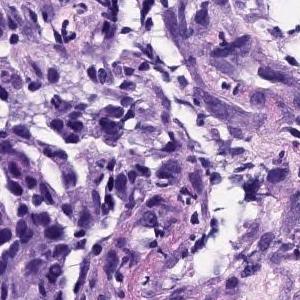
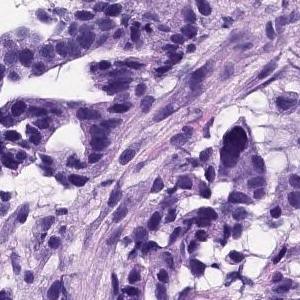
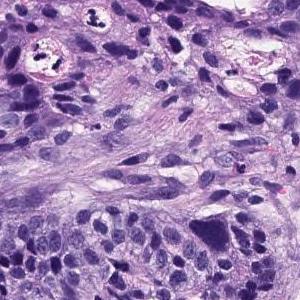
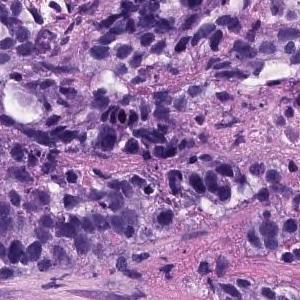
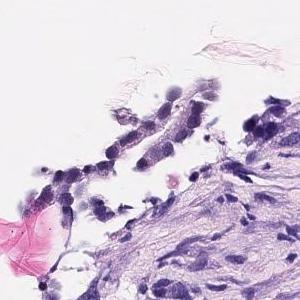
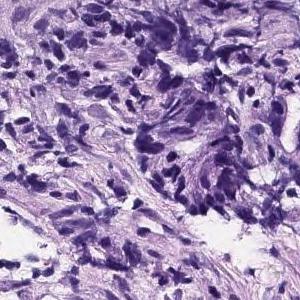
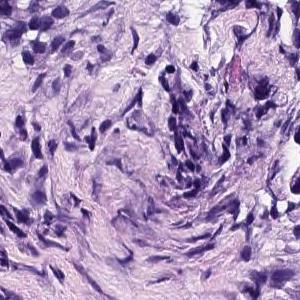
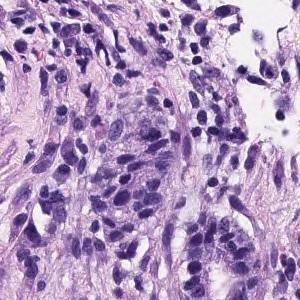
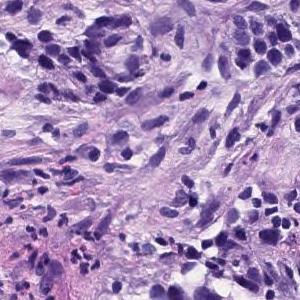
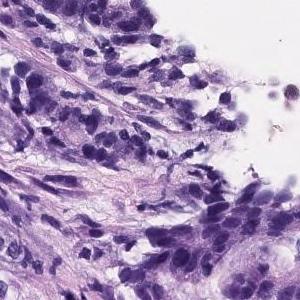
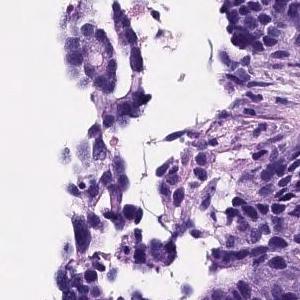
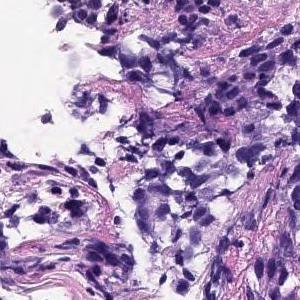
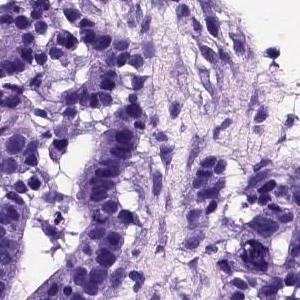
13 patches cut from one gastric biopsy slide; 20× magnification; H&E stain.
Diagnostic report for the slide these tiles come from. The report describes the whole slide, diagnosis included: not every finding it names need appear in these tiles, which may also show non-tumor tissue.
In the superficial epithelium, tumor tissue that invades by forming medium-sized to small, irregular ducts is observed. Tumor cells are columnar or cuboidal in shape. Moderately differentiated adenocarcinoma.
Subtype: Moderately differentiated tubular adenocarcinoma.
